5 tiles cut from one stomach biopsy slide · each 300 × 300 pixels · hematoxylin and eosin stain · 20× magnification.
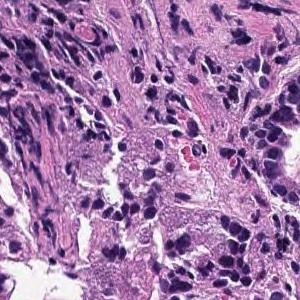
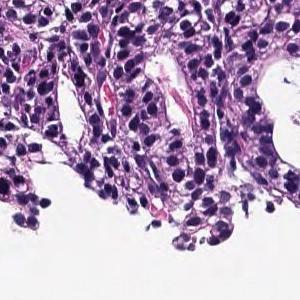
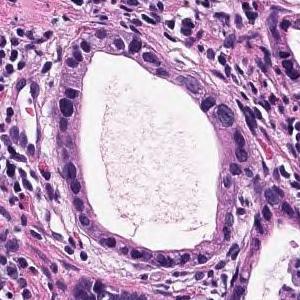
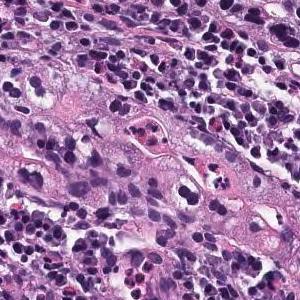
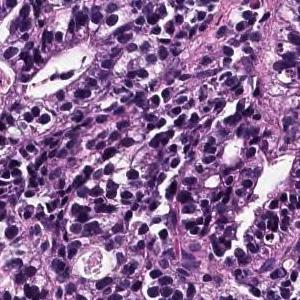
Report on the slide these tiles come from. Both the report and the diagnosis are for the whole slide: these tiles need not show every feature named, and some of the tissue shown may not be tumor.
Neoplastic cells with atypical nuclei of different sizes exhibit tubular glands and infiltrate and proliferate. Moderately differentiated tubular adenocarcinoma.
